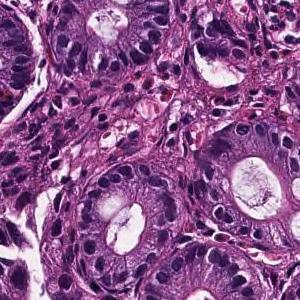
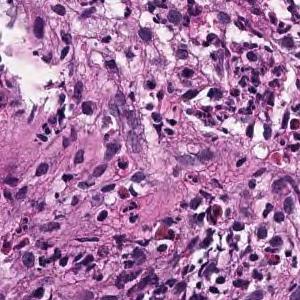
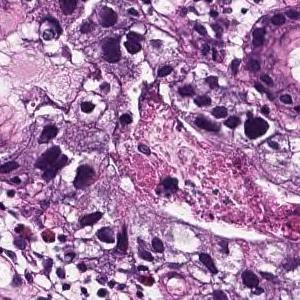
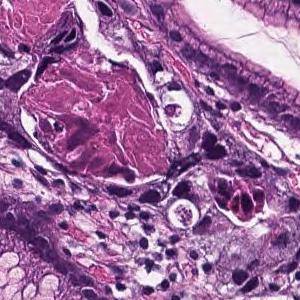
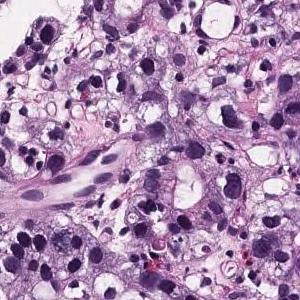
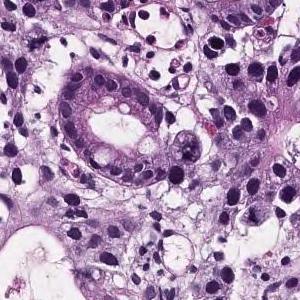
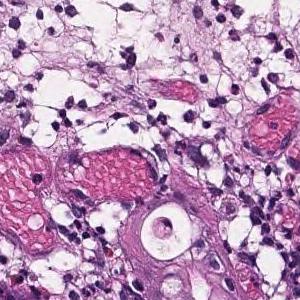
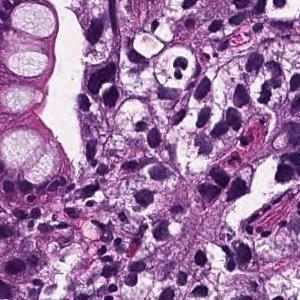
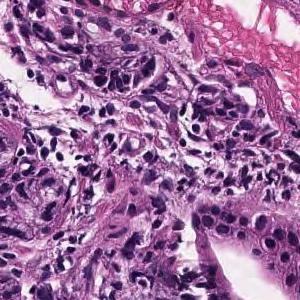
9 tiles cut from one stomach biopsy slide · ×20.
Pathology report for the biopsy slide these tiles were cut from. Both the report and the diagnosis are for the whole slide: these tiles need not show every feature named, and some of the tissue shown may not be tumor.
In the superficial epithelium, medium to small irregular gland ducts are formed, and in some cases, the ducts are fused to show solid alveolar lesions and infiltrating tumor tissue is observed. Moderately to poorly differentiated adenocarcinoma
